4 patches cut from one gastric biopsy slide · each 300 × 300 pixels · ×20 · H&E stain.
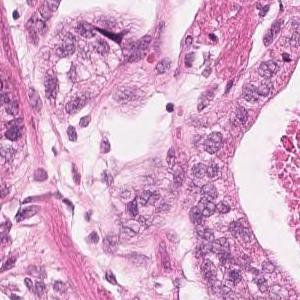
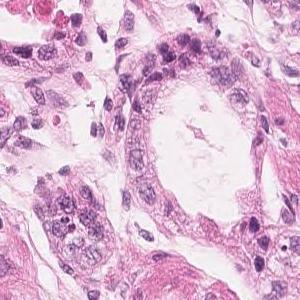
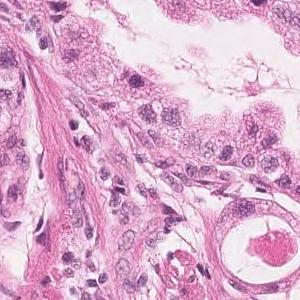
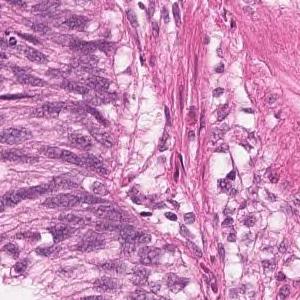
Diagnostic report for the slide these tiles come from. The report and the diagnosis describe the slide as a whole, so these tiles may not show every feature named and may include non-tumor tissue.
Highly columnar epithelium with disordered nuclear localization proliferates showing fusion ductal construction. moderately differentiated tubular adenocarcinoma
